×20, 11 tiles from the same stomach biopsy slide, each 300 × 300 pixels.
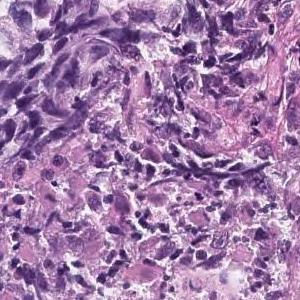
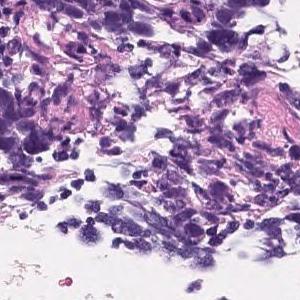
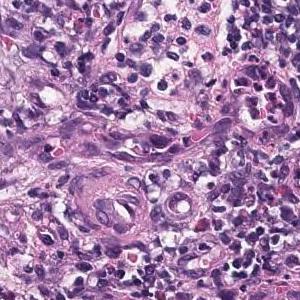
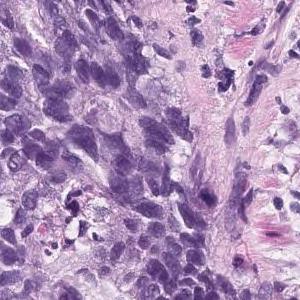
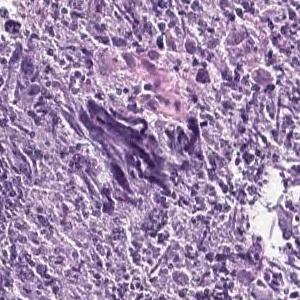
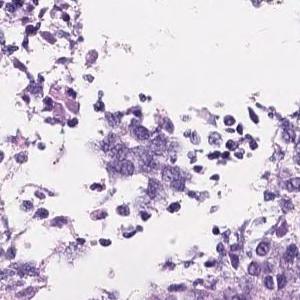
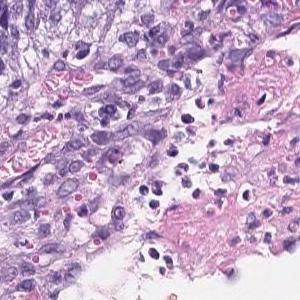
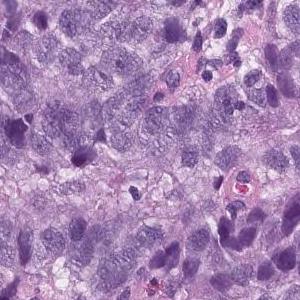
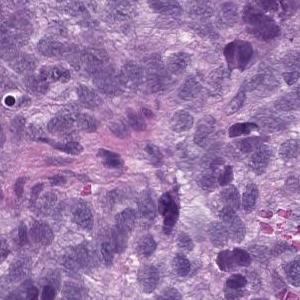
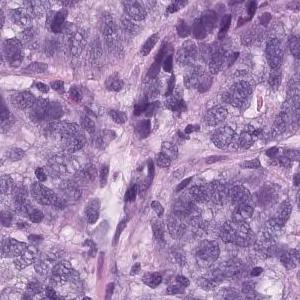
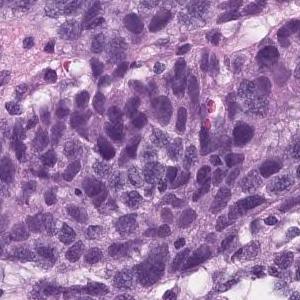
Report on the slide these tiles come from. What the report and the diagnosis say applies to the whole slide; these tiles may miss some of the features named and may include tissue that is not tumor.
Epithelial cells with swollen nuclei with atypia invasively proliferating while forming vesicles is observed. Poorly differentiated adenocarcinoma
Tumor subtype: poorly differentiated adenocarcinoma, solid type (Japanese Classification of Gastric Carcinoma). The WHO 2019 equivalent is tubular adenocarcinoma, poorly differentiated.
